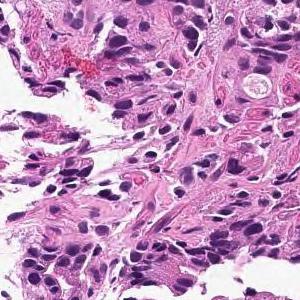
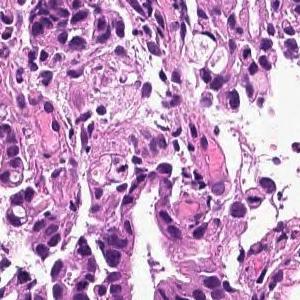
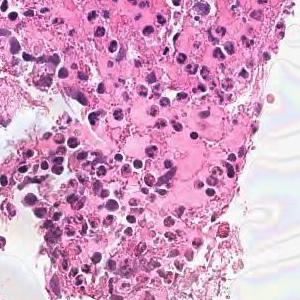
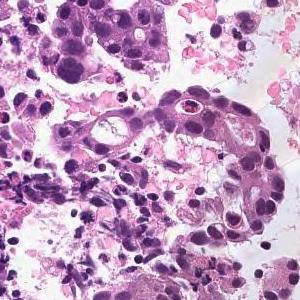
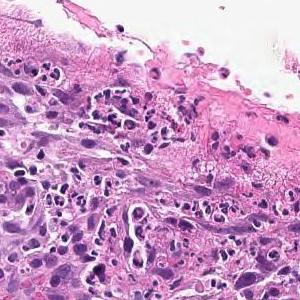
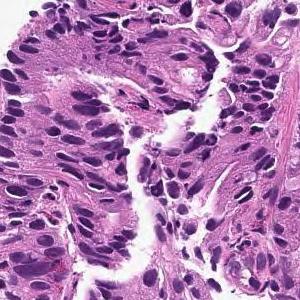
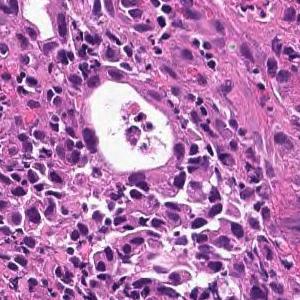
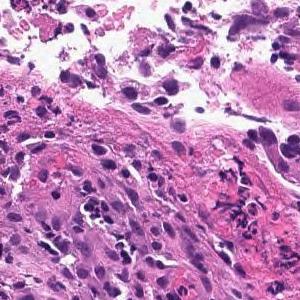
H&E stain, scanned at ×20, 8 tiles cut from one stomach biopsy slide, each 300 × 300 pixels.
Pathology report for the slide these tiles were cut from. The report and the diagnosis describe the slide as a whole, so these tiles may not show every feature named and may include non-tumor tissue.
On the superficial epithelium, tumor tissue consisting of large irregular glandular ducts partially fused and infiltrated is observed. Well to moderately differentiated tubular adenocarcinoma (well differentiated tubular adenocarcinoma, moderately differentiated tubular adenocarcinoma)
Histologic type: Well to moderately differentiated tubular adenocarcinoma.
